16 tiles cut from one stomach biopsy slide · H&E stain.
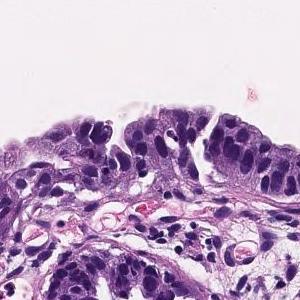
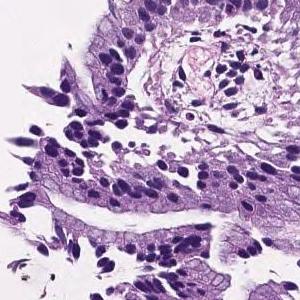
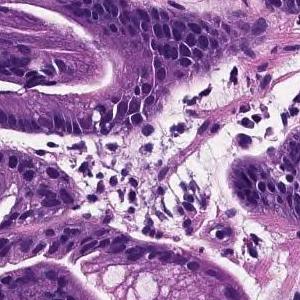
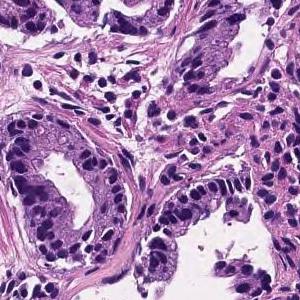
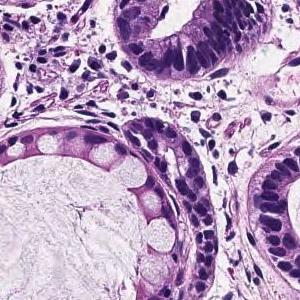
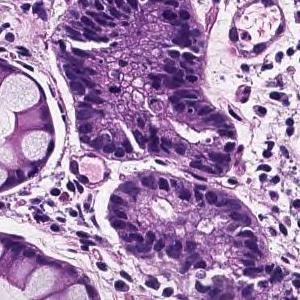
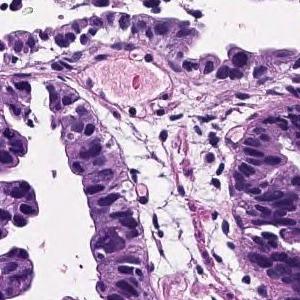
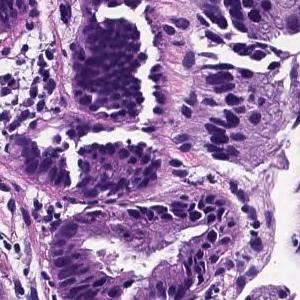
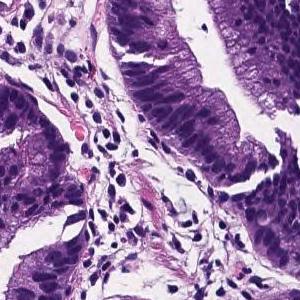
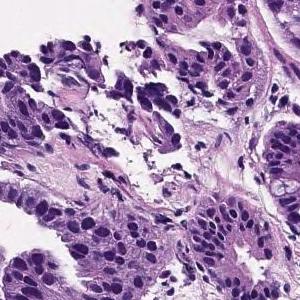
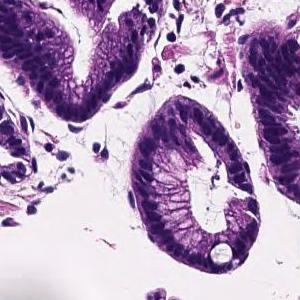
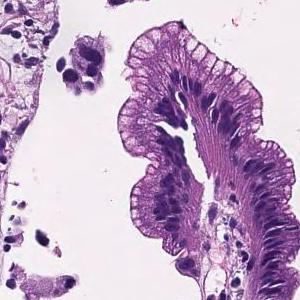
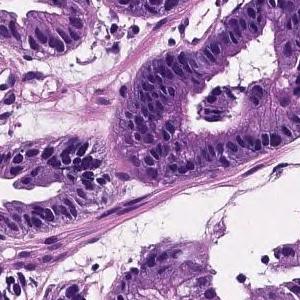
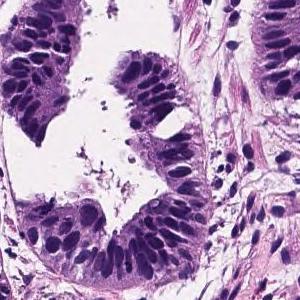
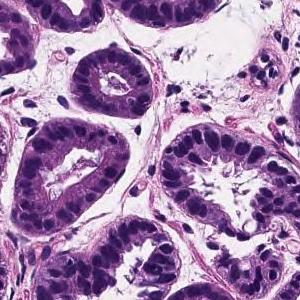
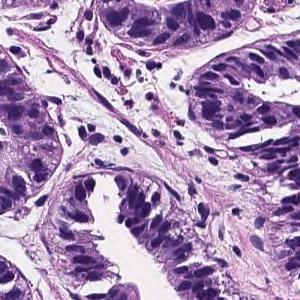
Pathology report for the biopsy slide these tiles were cut from. Both the report and the diagnosis are for the whole slide: these tiles need not show every feature named, and some of the tissue shown may not be tumor.
Tumor cells are large, highly columnar, large club-shaped nuclei, and are associated with chromatin aggregation. Papillary adenocarcinoma.
